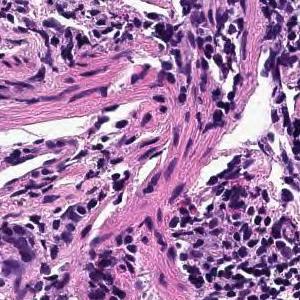
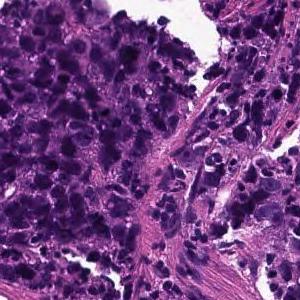
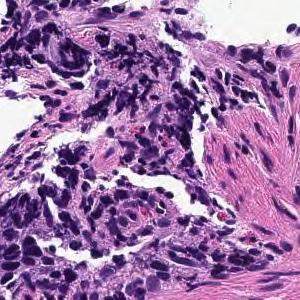
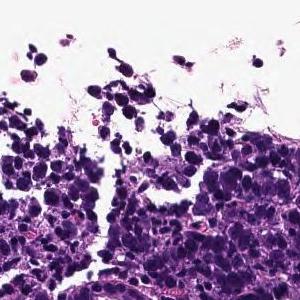
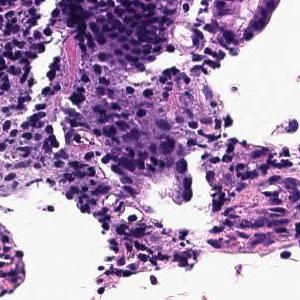
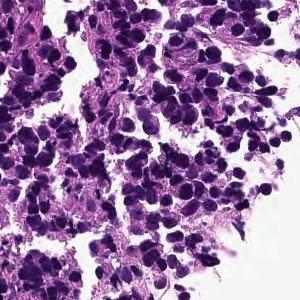
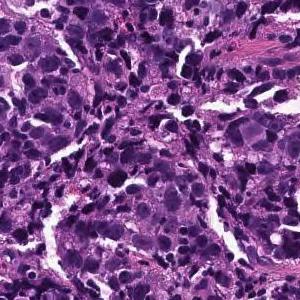
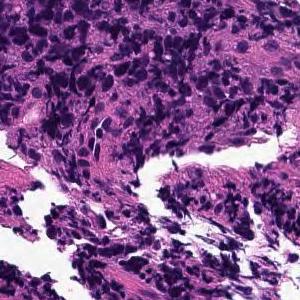
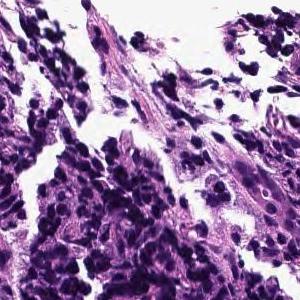
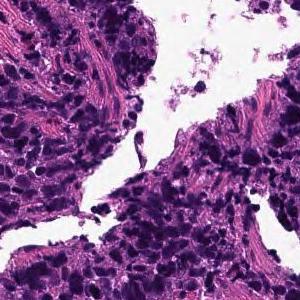
10 patches cut from one gastric biopsy slide, hematoxylin and eosin stain.
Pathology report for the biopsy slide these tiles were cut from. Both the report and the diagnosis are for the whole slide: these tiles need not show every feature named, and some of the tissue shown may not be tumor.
The superficial epithelium shows large alveolar or sheet-like forms, and some tumor tissue infiltrates with small irregular ducts. Poorly differentiated adenocarcinoma, solid-type
Tumor subtype: poorly differentiated adenocarcinoma, solid type, a category of the Japanese Classification of Gastric Carcinoma; in the WHO 2019 classification it is tubular adenocarcinoma, poorly differentiated.
